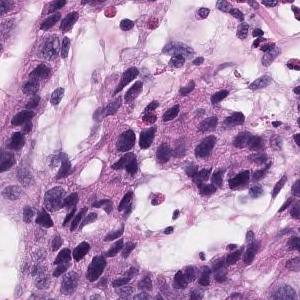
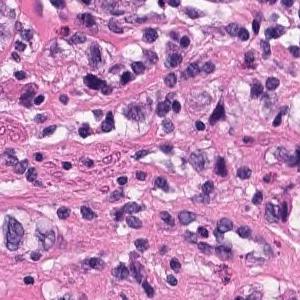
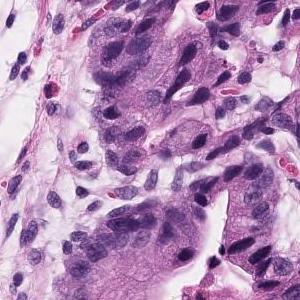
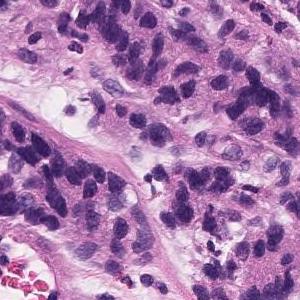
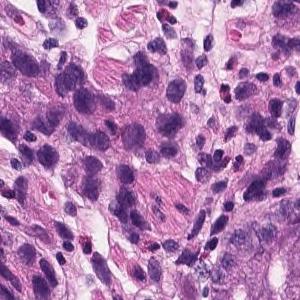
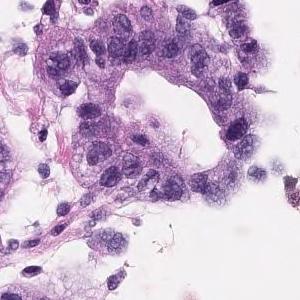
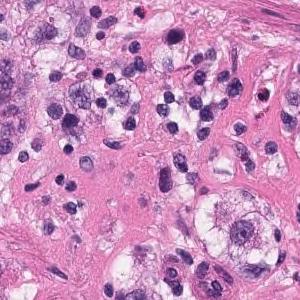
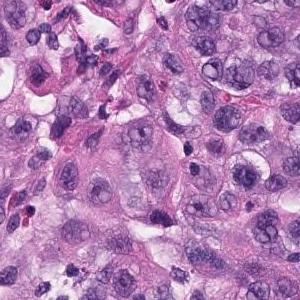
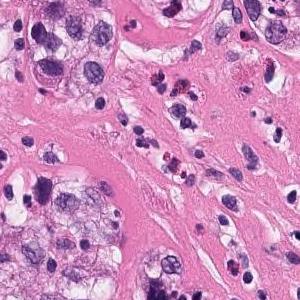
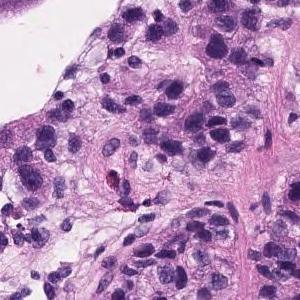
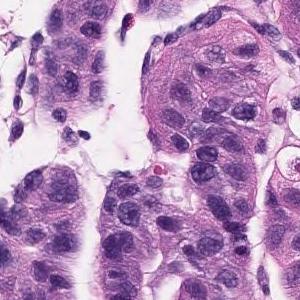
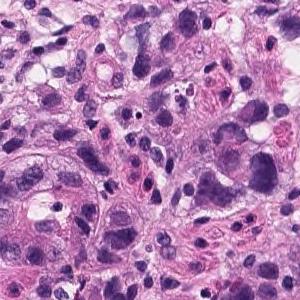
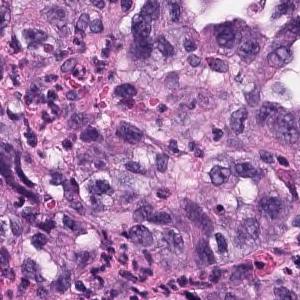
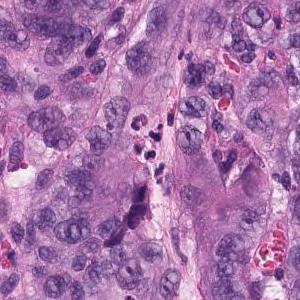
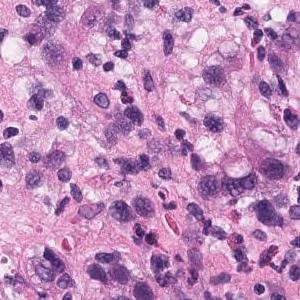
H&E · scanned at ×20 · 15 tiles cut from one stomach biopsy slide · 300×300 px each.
Diagnostic report for the slide these tiles come from. Both the report and the diagnosis are for the whole slide: these tiles need not show every feature named, and some of the tissue shown may not be tumor.
Atypical l cells with atypical nuclei forming diffuse or small irregular atypical ducts and growing. Moderately to poorly differentiated adenocarcinoma (poorly differentiated adenocarcinoma, solid type, moderately differentiated tubular adenocarcinoma)
Subtype: Moderately to poorly differentiated adenocarcinoma.
The solid type named here is a Japanese Classification of Gastric Carcinoma category; WHO 2019 calls it tubular adenocarcinoma, poorly differentiated.
